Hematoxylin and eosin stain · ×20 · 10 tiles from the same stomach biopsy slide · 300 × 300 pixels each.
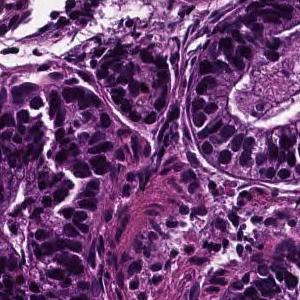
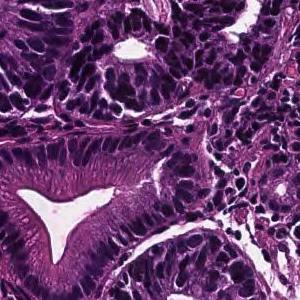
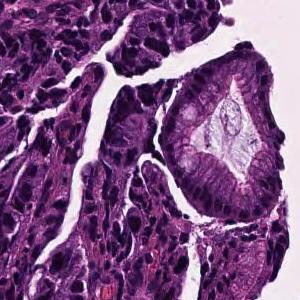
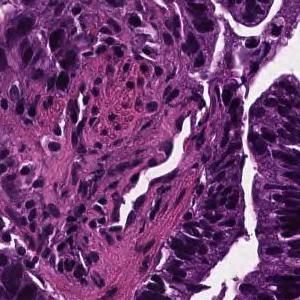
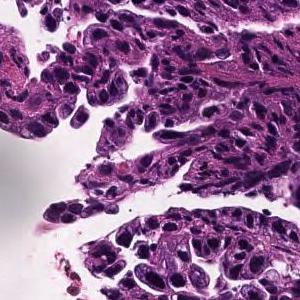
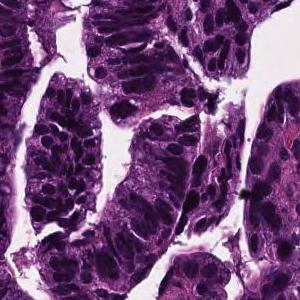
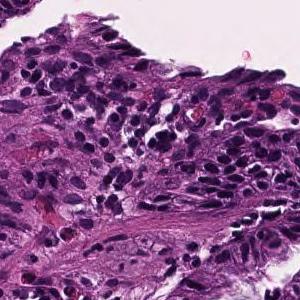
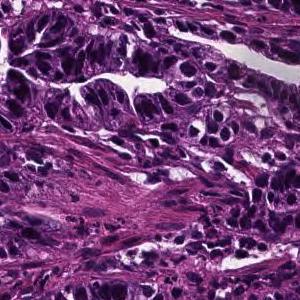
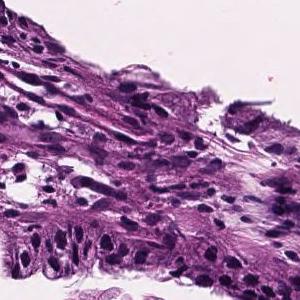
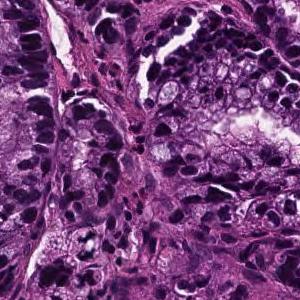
Pathology report for the biopsy slide these tiles were cut from. The findings and the diagnosis refer to the entire slide; these tiles show only part of it, possibly with non-tumor tissue, and may not show every feature named.
In the superficial epithelium, tumor tissue that invades by forming medium-sized to small, irregular ducts is observed. Well differentiated tubular adenocarcinoma.
